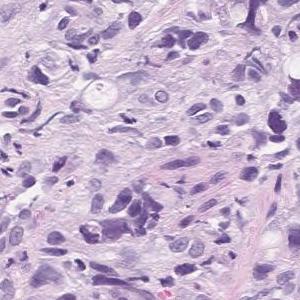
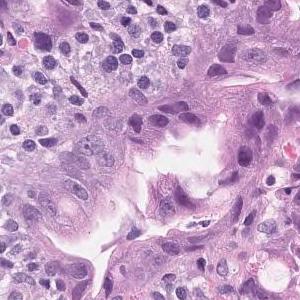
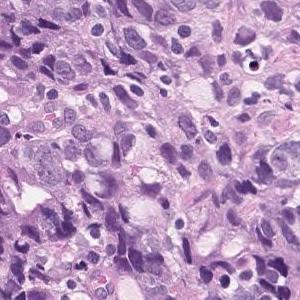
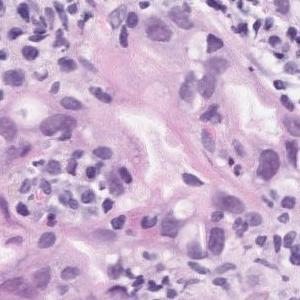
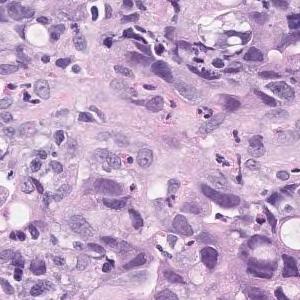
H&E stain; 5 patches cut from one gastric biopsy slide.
Pathology report for the slide these tiles were cut from. The report and the diagnosis cover the entire slide, so not every feature they name need be visible here, and some tissue shown may not be tumor.
Tumor tissue consisting of medium-sized, cord-like or irregular glandular infiltration is observed in the superficial epithelium. Poorly differentiated adenocarcinoma, non-solid type or moderately differentiated tubular adenocarcinoma
The dataset labels this slide poorly differentiated adenocarcinoma, non-solid type.
The term "non-solid type" comes from the Japanese Classification of Gastric Carcinoma.
